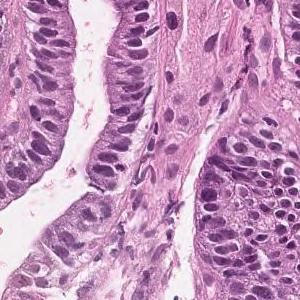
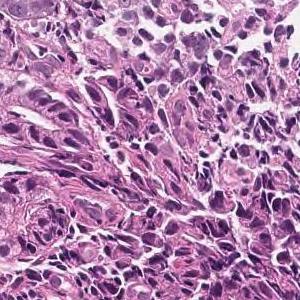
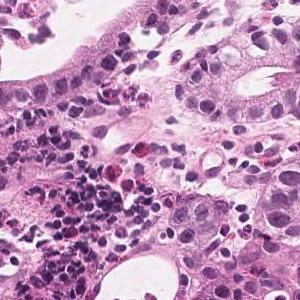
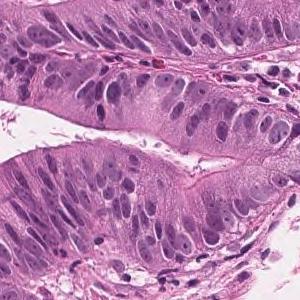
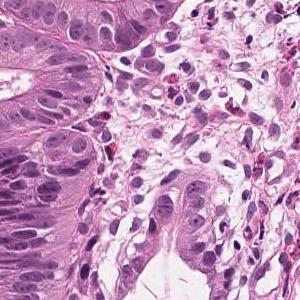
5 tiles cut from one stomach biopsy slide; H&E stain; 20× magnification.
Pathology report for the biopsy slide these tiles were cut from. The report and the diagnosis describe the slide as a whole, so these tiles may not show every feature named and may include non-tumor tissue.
On the superficial epithelium, tumor tissue consisting of large, irregular glandular ducts partially fused and infiltrated is observed. Well to moderately differentiated tubular adenocarcinoma (well differentiated tubular adenocarcinoma, moderately differentiated tubular adenocarcinoma)
Subtype: Well to moderately differentiated tubular adenocarcinoma.
